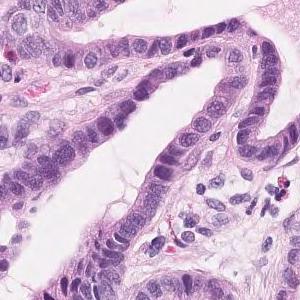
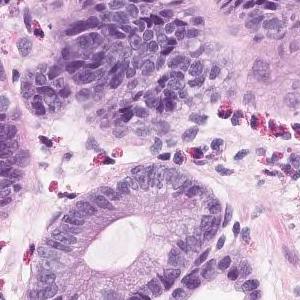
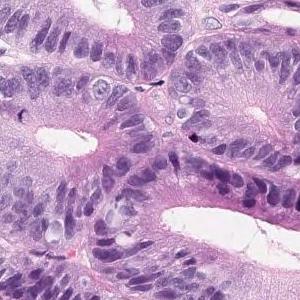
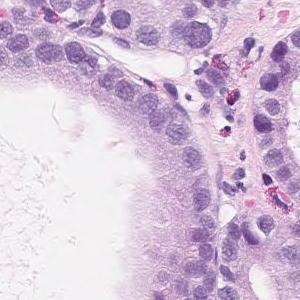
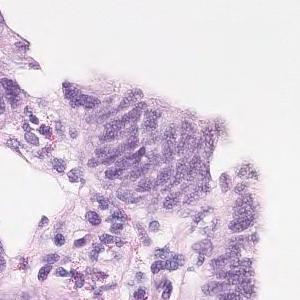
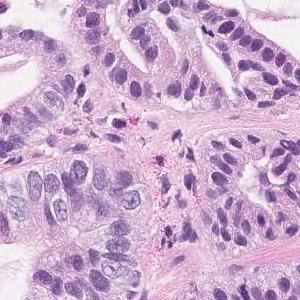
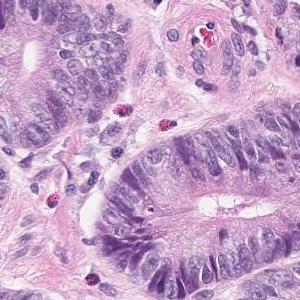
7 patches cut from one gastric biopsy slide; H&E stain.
Report on the slide these tiles come from. Both the report and the diagnosis are for the whole slide: these tiles need not show every feature named, and some of the tissue shown may not be tumor.
Short atypical epithelium with swelling of the nucleus shows proliferating, large and small irregular ductal structures. Well to moderately differentiated tubular adenocarcinoma (well differentiated tubular adenocarcinoma-moderately differentiated tubular adenocarcinoma)
Tumor subtype: well to moderately differentiated tubular adenocarcinoma.
